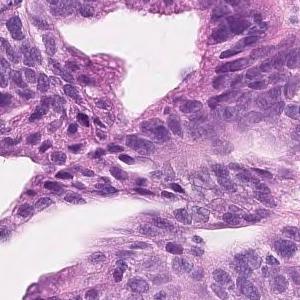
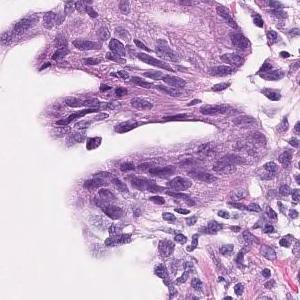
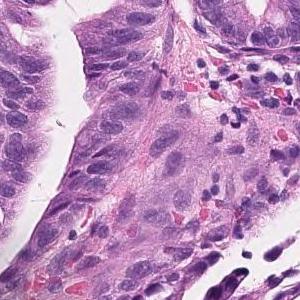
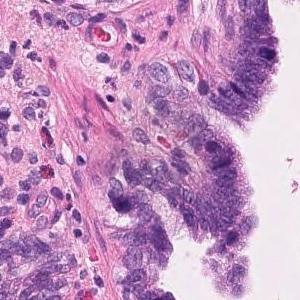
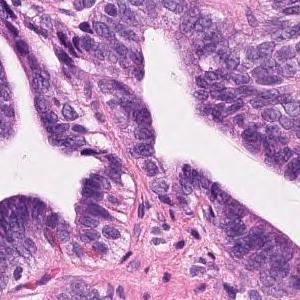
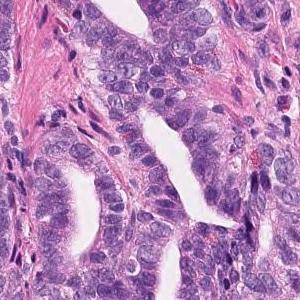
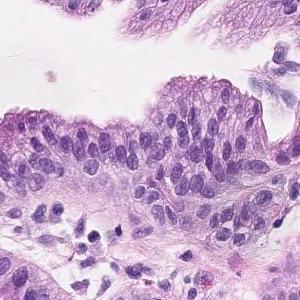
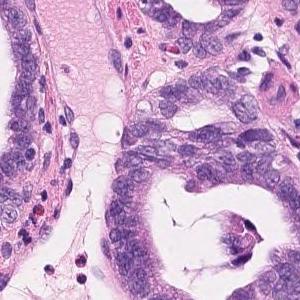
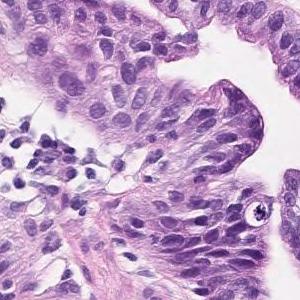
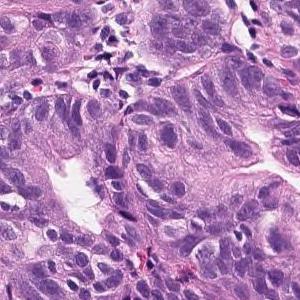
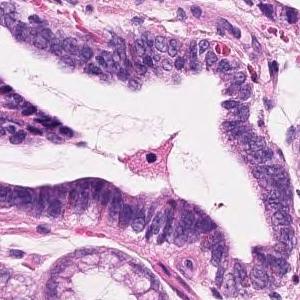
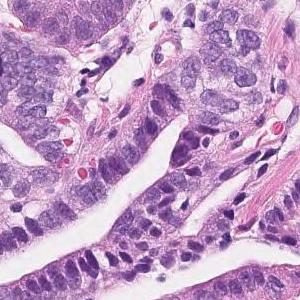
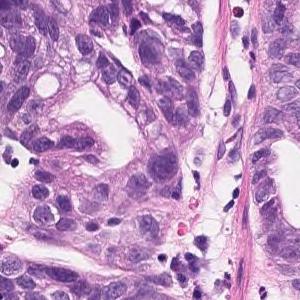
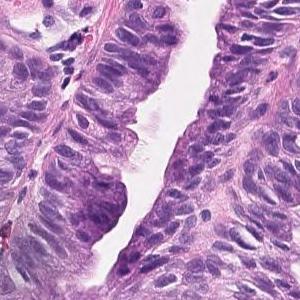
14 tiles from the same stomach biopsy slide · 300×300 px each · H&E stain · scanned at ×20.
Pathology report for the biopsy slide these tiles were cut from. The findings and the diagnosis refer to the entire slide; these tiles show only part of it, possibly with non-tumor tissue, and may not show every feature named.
Tumor cells are large, highly columnar, large club-shaped nuclei, and are associated with chromatin aggregation. Papillary adenocarcinoma.
